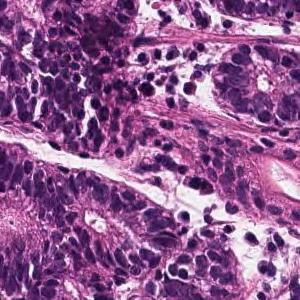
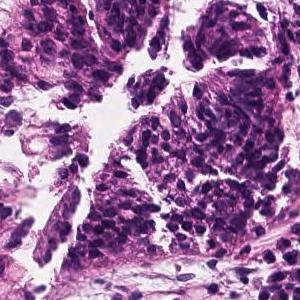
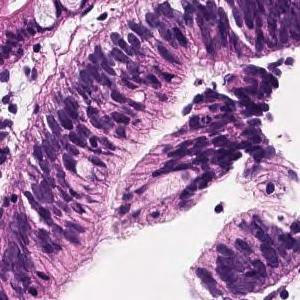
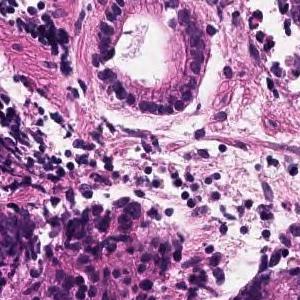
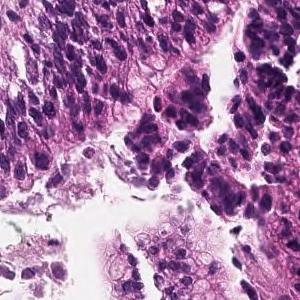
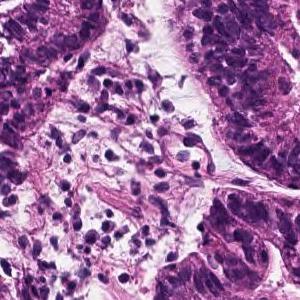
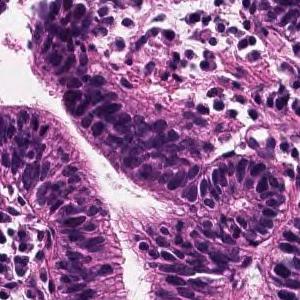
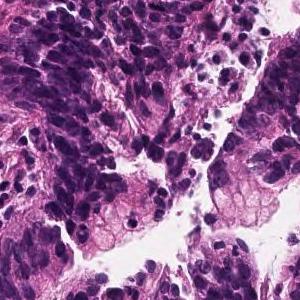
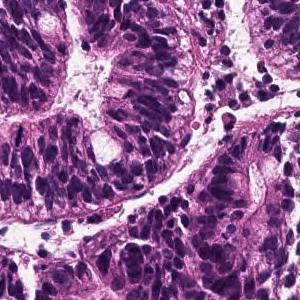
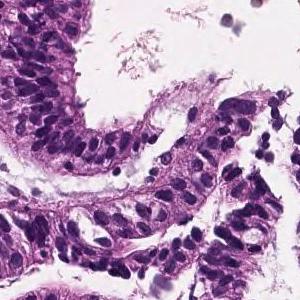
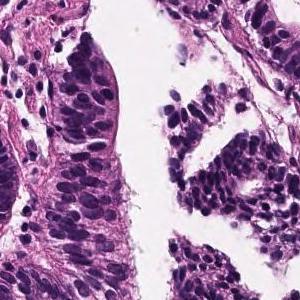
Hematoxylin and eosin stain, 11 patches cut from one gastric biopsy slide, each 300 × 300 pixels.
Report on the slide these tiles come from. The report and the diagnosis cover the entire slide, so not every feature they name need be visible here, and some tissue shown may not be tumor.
Tumor cells are large, highly columnar, large club-shaped nuclei, and are associated with chromatin aggregation. Papillary adenocarcinoma.
